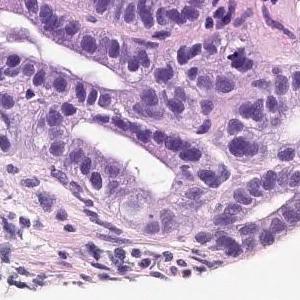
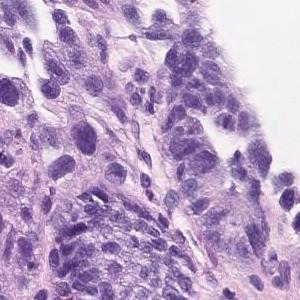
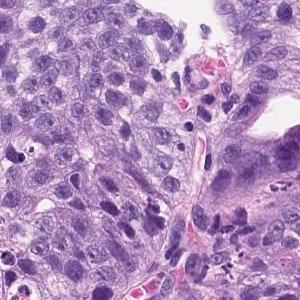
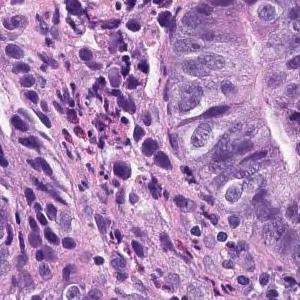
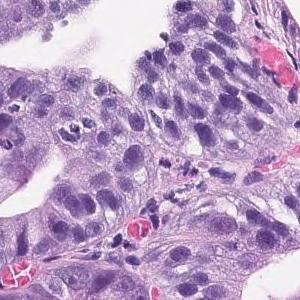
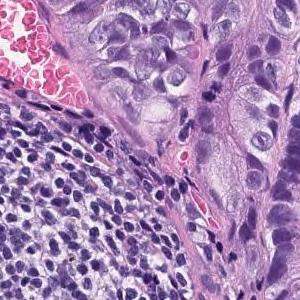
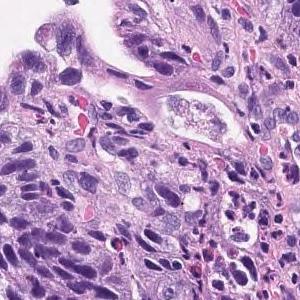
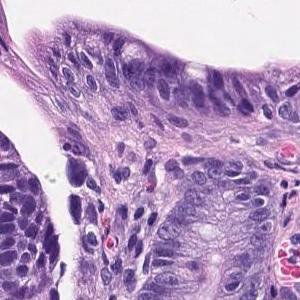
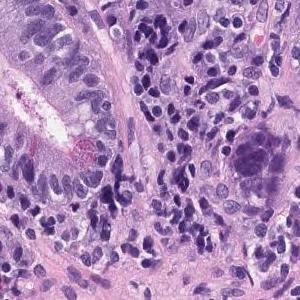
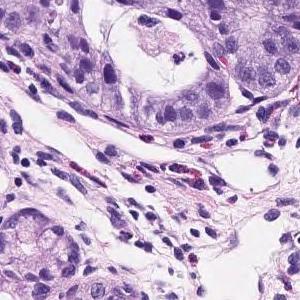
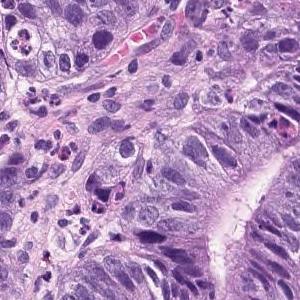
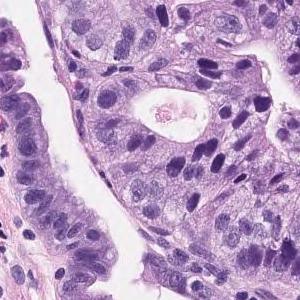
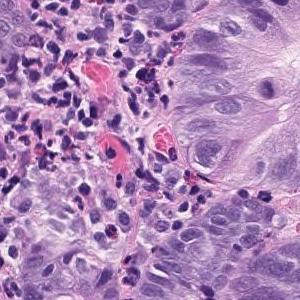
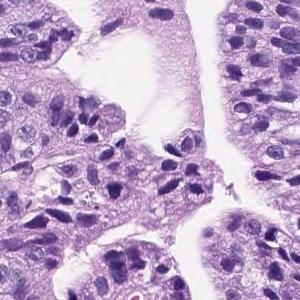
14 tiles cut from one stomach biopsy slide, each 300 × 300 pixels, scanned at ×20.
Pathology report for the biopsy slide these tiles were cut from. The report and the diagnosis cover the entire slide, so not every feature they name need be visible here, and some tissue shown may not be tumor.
Atypical cells with atypical nuclei forming irregular atypical ducts and growing in a conformative manner. Well differentiated tubular adenocarcinoma
